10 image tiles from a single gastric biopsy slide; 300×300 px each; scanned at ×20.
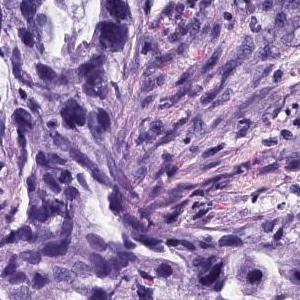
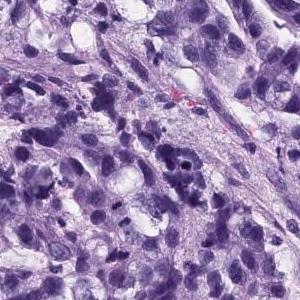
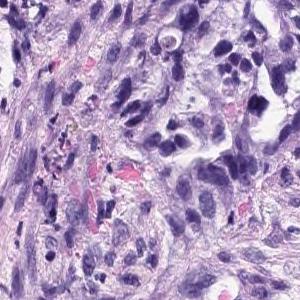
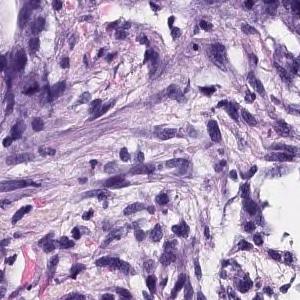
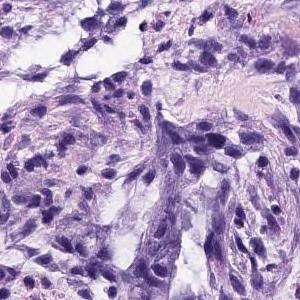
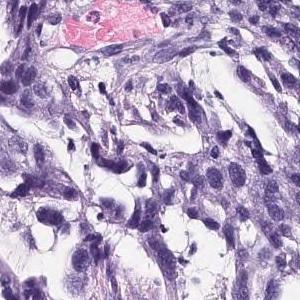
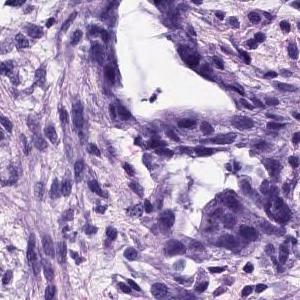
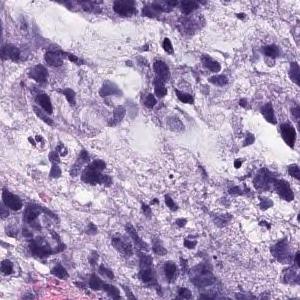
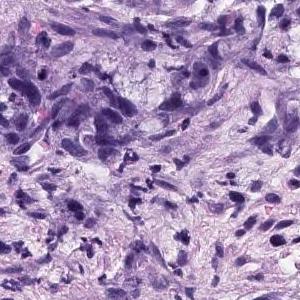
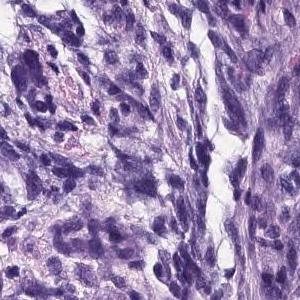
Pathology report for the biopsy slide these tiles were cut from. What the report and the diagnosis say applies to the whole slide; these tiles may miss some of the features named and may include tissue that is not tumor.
Atypical l cells with atypical nuclei forming solid or diffuse vesicle nests and proliferating in a complex manner. Poorly differentiated adenocarcinoma, moderately differentiated tubular adenocarcinoma
Subtype: Moderately to poorly differentiated adenocarcinoma.
